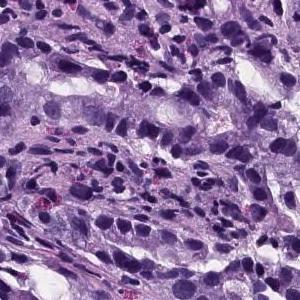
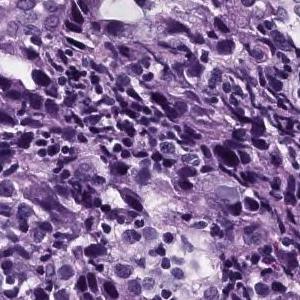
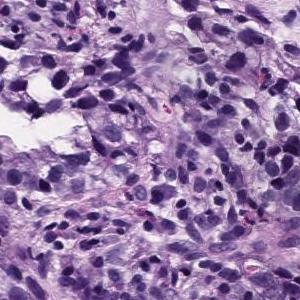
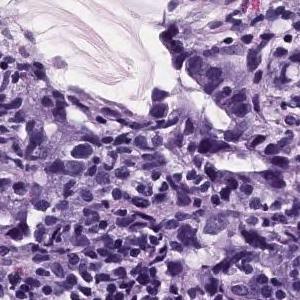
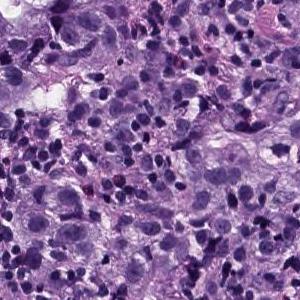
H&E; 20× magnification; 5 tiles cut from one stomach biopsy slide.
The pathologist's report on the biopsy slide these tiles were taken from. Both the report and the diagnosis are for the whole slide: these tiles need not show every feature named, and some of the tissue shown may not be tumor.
Atypical epithelial cells infiltrating and proliferating while forming solid or cord-like fused glandular cavities of different sizes is observed. moderately differentiated tubular adenocarcinoma, poorly differentiated adenocarcinoma.
Tumor subtype: moderately to poorly differentiated adenocarcinoma.
